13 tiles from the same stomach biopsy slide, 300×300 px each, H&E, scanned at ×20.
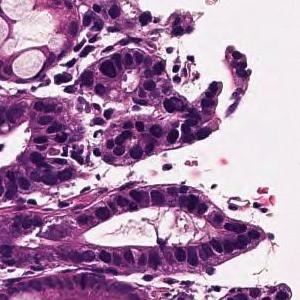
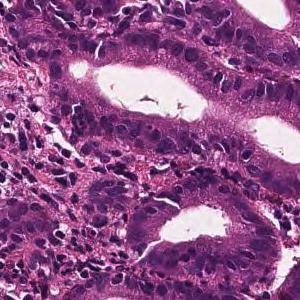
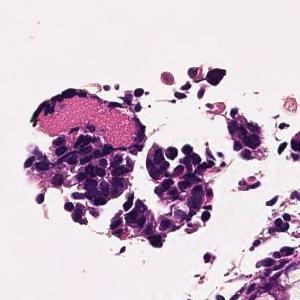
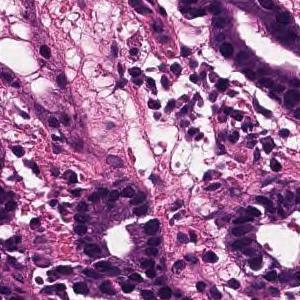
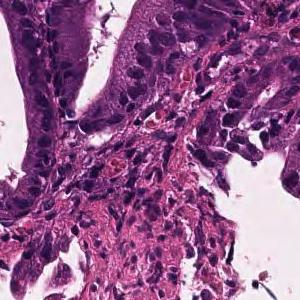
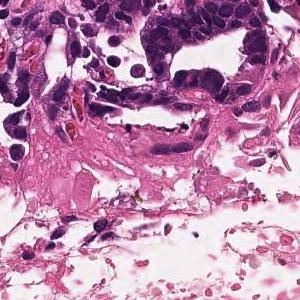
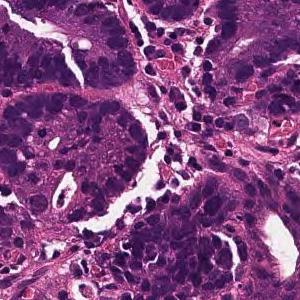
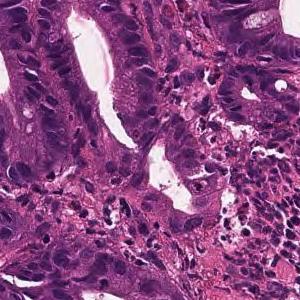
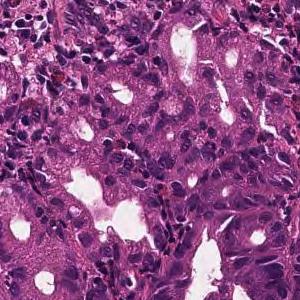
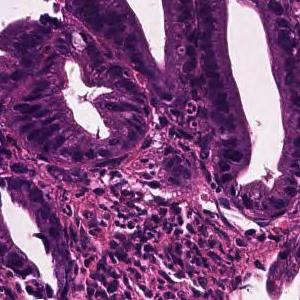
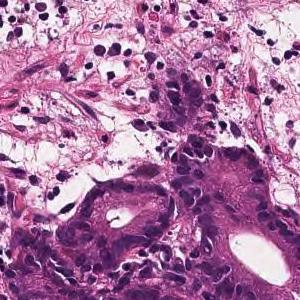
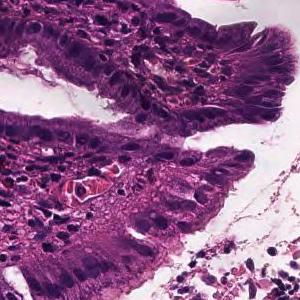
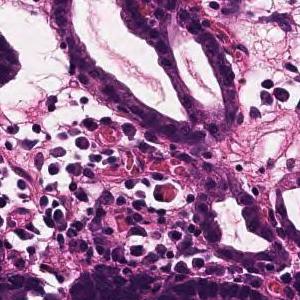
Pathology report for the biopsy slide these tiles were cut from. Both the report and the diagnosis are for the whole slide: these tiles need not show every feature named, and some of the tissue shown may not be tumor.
On the superficial epithelium, tumor tissue consisting of medium-sized and irregular glandular ducts partially fused and infiltrated is observed. Well to moderately differentiated tubular adenocarcinoma (well differentiated tubular adenocarcinoma-moderately differentiated tubular adenocarcinoma)
Subtype: Well to moderately differentiated tubular adenocarcinoma.
